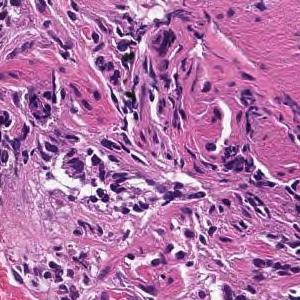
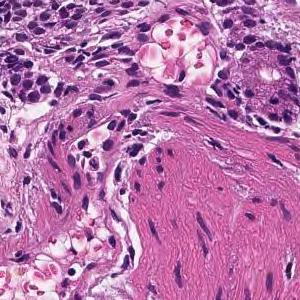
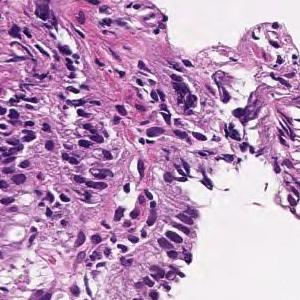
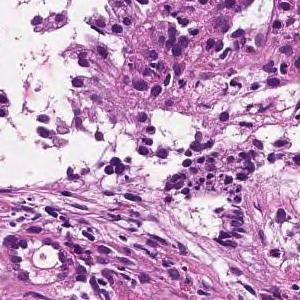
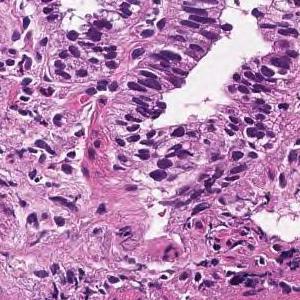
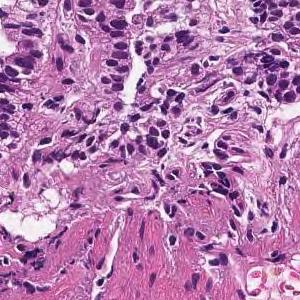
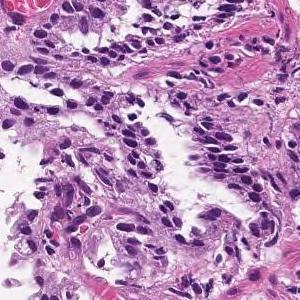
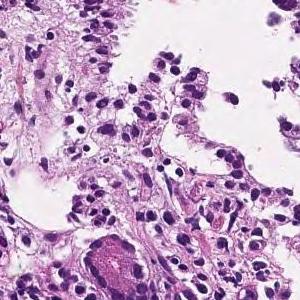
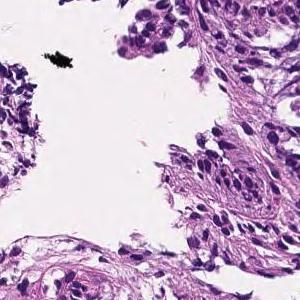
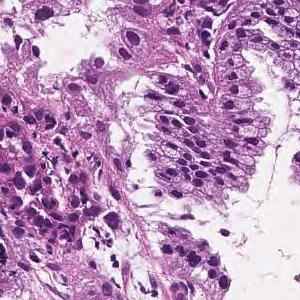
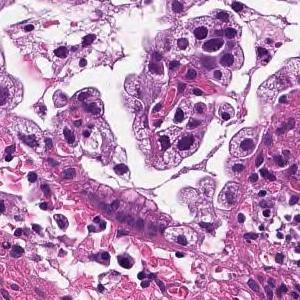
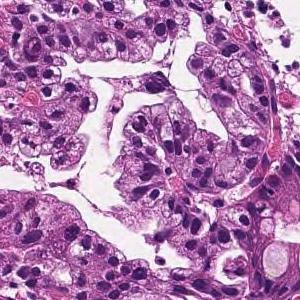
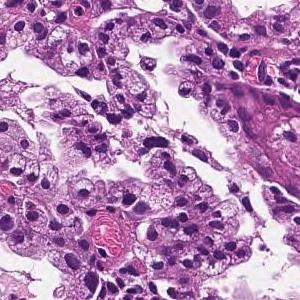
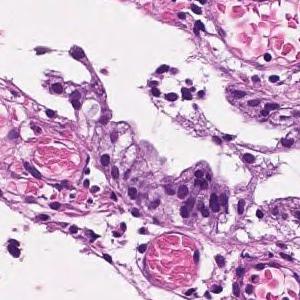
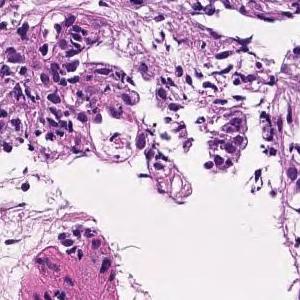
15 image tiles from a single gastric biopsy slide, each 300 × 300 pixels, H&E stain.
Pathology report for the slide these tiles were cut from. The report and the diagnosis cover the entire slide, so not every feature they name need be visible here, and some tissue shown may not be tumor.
On the superficial epithelium, tumor tissue that infiltrates by forming medium-sized papillary or small irregular ducts is observed. Papillary adenocarcinoma
